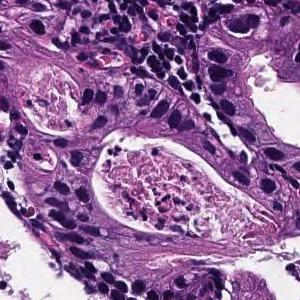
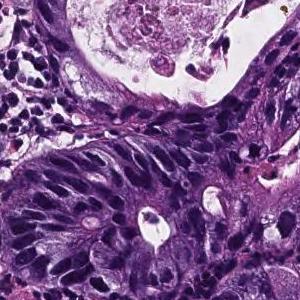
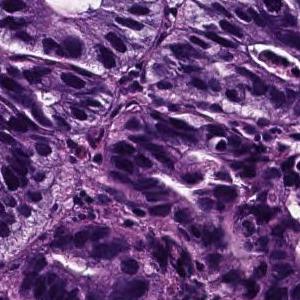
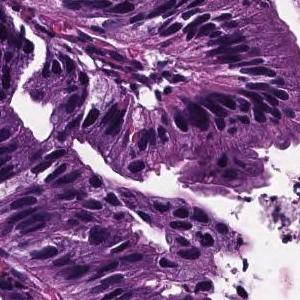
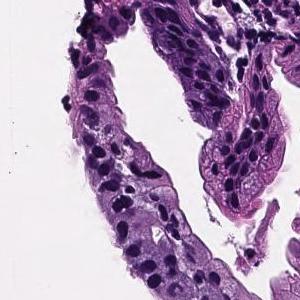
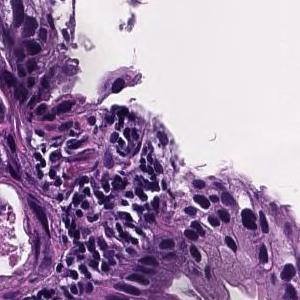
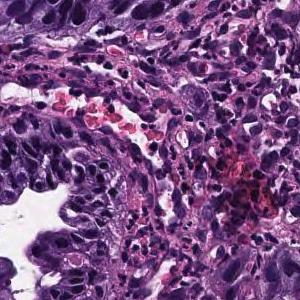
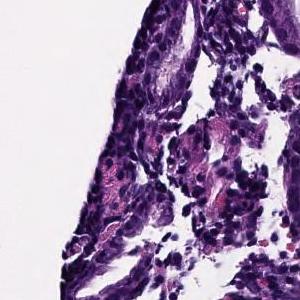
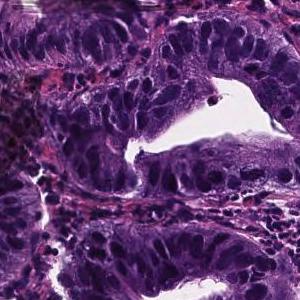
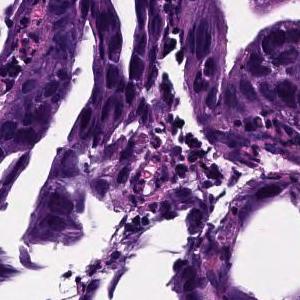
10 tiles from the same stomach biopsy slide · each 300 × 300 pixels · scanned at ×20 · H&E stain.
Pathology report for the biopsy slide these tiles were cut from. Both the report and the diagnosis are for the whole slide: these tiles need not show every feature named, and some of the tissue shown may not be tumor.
In the superficial epithelium, tumor tissue that invades by forming medium-sized to small, irregular ducts is observed. Moderately differentiated adenocarcinoma.
Subtype: Moderately differentiated tubular adenocarcinoma.
